H&E stain, 9 image tiles from a single gastric biopsy slide, 300 × 300 pixels each.
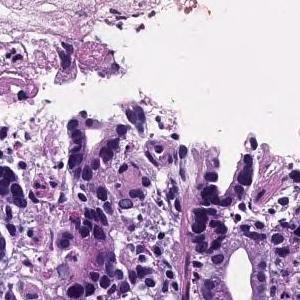
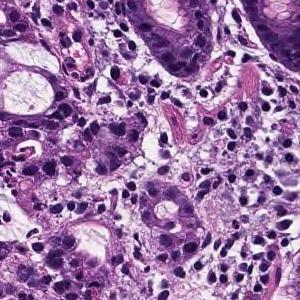
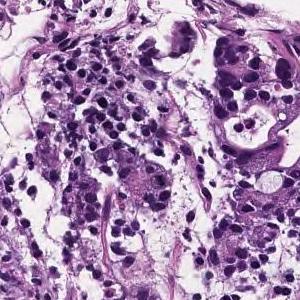
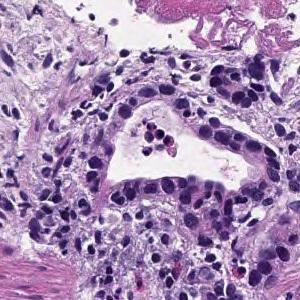
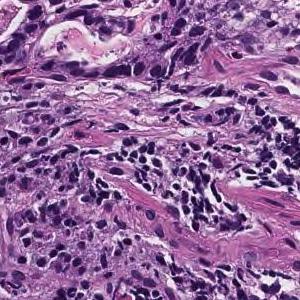
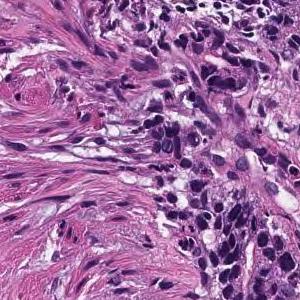
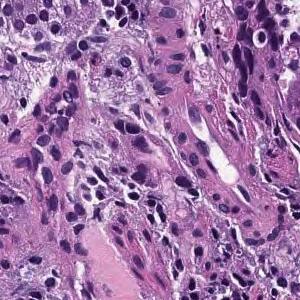
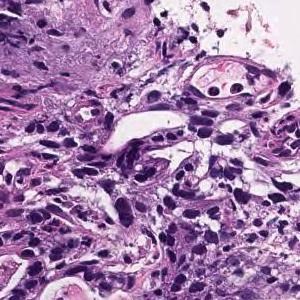
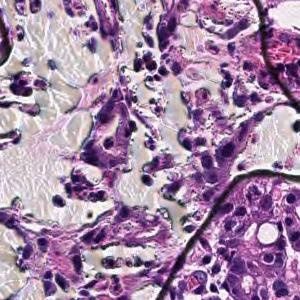
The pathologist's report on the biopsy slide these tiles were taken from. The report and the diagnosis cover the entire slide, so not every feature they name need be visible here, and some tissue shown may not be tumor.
In the superficial epithelium, tumor tissue is found in which medium-sized to small, irregular glandular ducts are partially fused and infiltrated. moderately differentiated tubular adenocarcinoma
